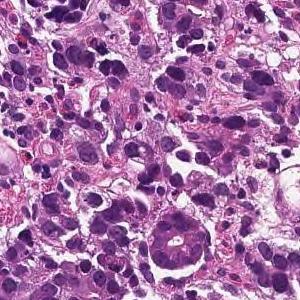
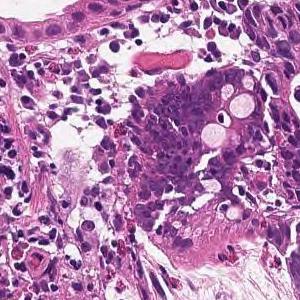
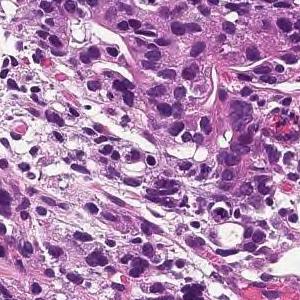
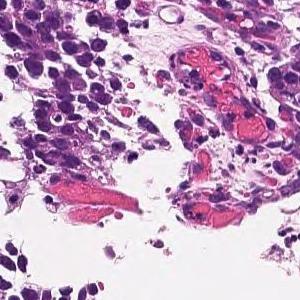
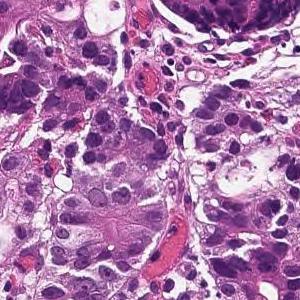
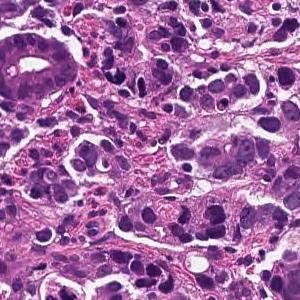
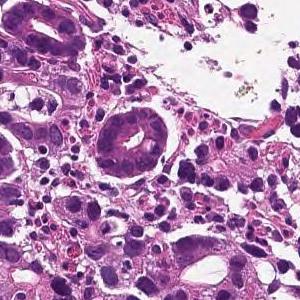
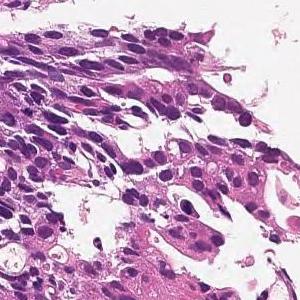
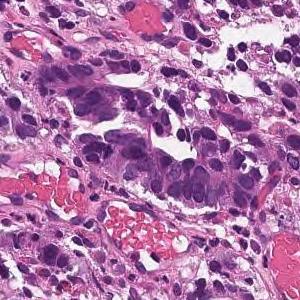
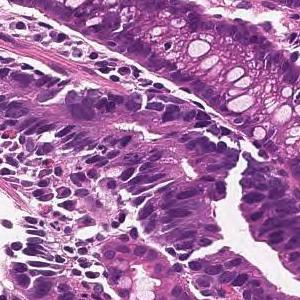
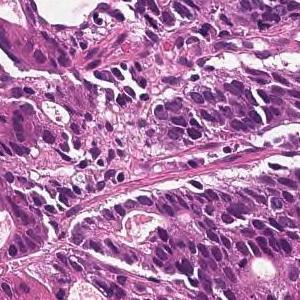
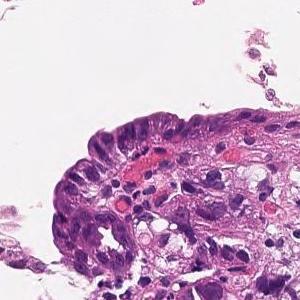
20× magnification; H&E; 12 tiles cut from one stomach biopsy slide; 300 × 300 pixels each.
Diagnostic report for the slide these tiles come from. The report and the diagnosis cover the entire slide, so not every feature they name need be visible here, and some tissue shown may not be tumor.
On the superficial epithelium, tumor tissue is found in which medium-sized irregular gland ducts fuse with each other and infiltrate. moderately differentiated tubular adenocarcinoma
